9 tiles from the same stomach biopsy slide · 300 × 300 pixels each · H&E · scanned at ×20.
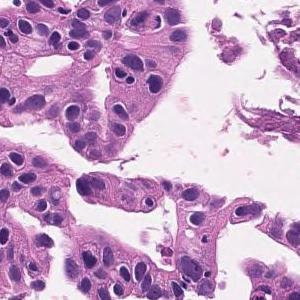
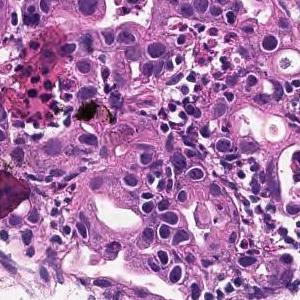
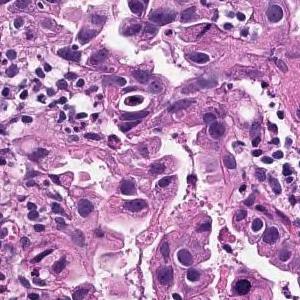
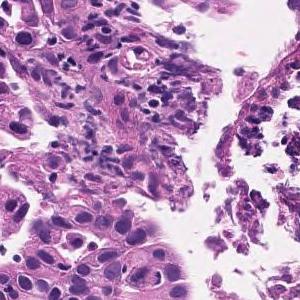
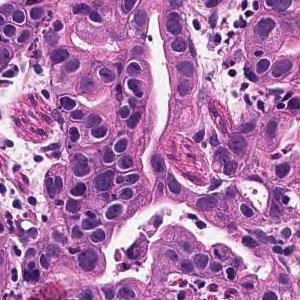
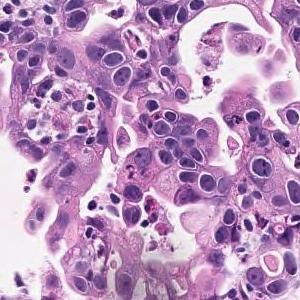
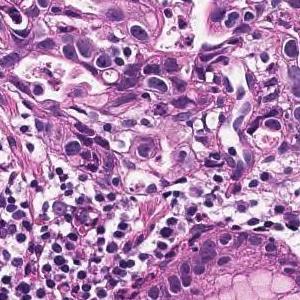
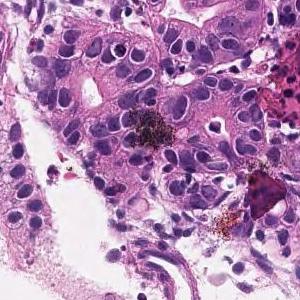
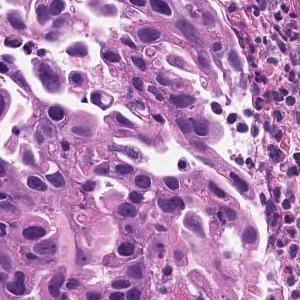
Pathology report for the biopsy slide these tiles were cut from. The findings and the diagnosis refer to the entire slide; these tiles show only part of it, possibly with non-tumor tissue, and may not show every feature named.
In the superficial epithelium, tumor tissue that invades by forming medium-sized to small, irregular ducts is observed. moderately differentiated tubular adenocarcinoma.
